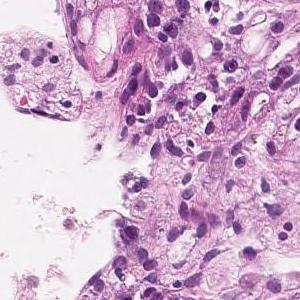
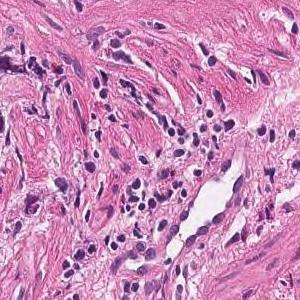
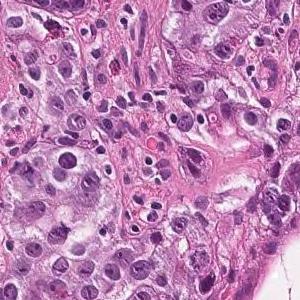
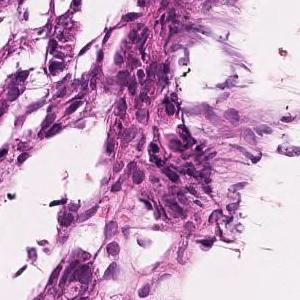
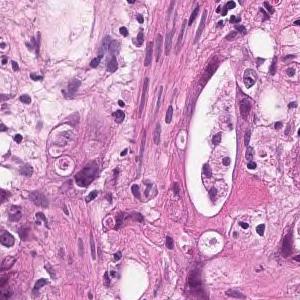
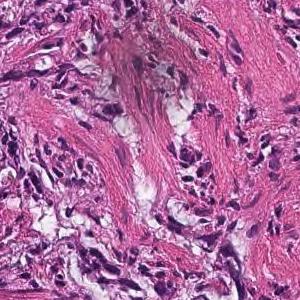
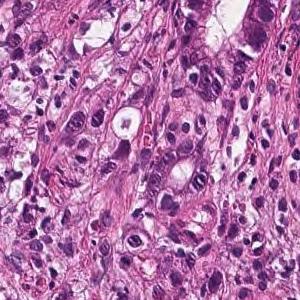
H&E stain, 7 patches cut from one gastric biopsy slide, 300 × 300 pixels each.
Diagnostic report for the slide these tiles come from. The findings and the diagnosis refer to the entire slide; these tiles show only part of it, possibly with non-tumor tissue, and may not show every feature named.
In the gastric mucosal tissue, tumor tissue that forms irregular glandular cavities of medium to small size or shows small cords and infiltrates is observed. moderately differentiated tubular adenocarcinoma
